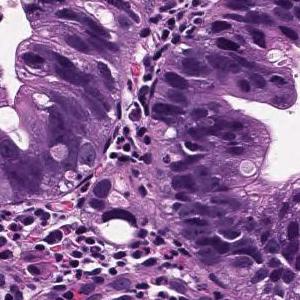
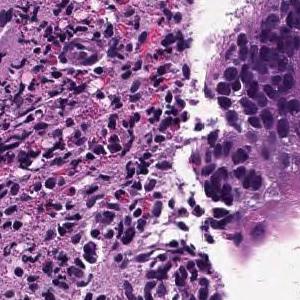
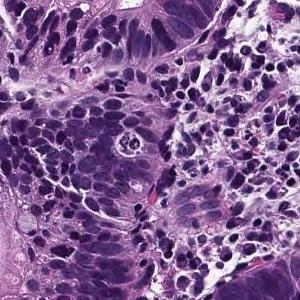
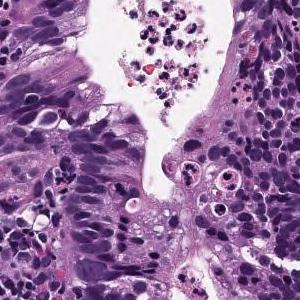
20× magnification, H&E stain, 4 tiles from the same stomach biopsy slide, 300 × 300 pixels each.
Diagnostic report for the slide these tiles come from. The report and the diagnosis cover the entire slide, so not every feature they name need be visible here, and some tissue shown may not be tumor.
From the superficial epithelium to the muscularis mucosae, tumor tissue consisting of medium-sized and irregular glandular ducts infiltrating is observed. Well differentiated tubular adenocarcinoma
